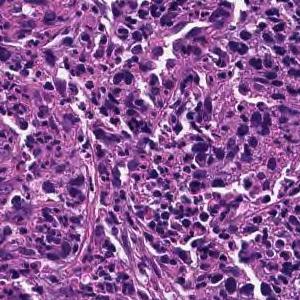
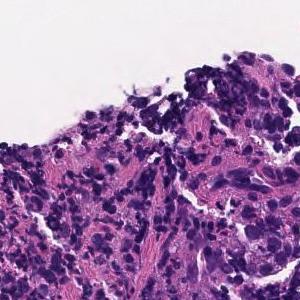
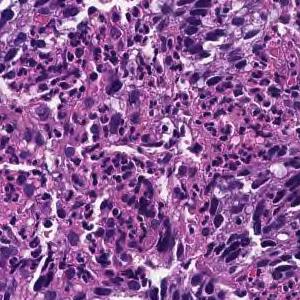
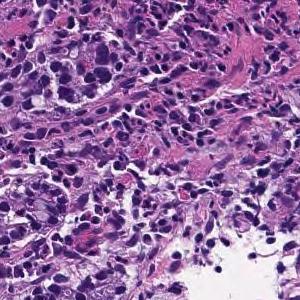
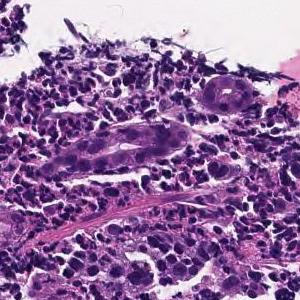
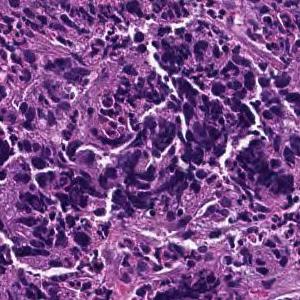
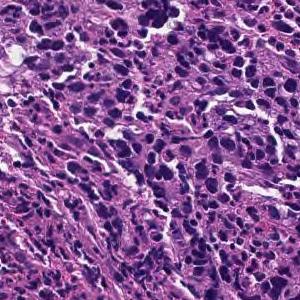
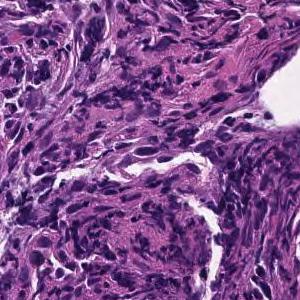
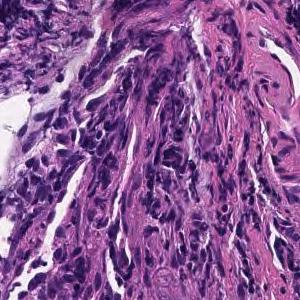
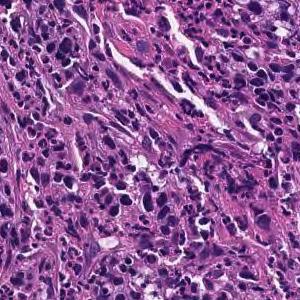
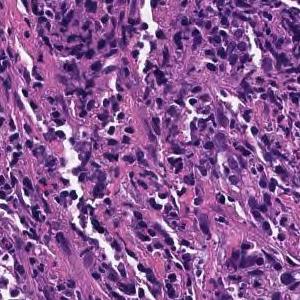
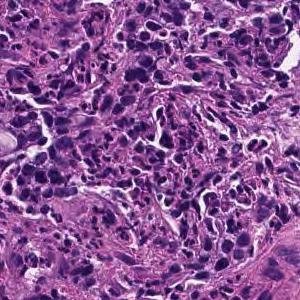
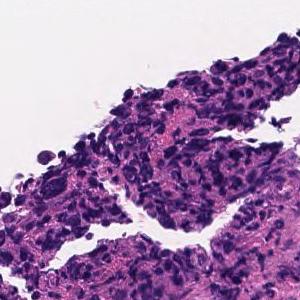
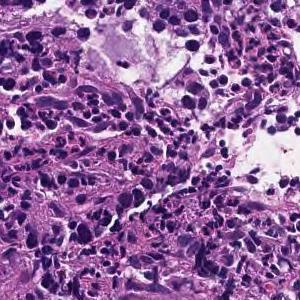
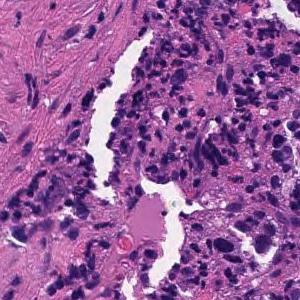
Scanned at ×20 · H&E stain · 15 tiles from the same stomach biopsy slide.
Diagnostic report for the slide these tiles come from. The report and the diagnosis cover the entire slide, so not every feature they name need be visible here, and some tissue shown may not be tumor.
Tumor tissue consisting of cord-like or small, irregular glandular ducts fused and infiltrated is observed in the superficial epithelium. Poorly differentiated adenocarcinoma, non-solid type
"Non-solid type" is a category of the Japanese Classification of Gastric Carcinoma.
